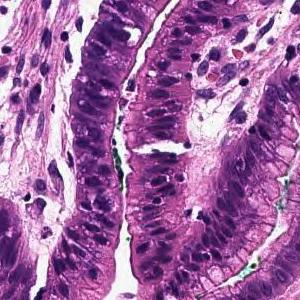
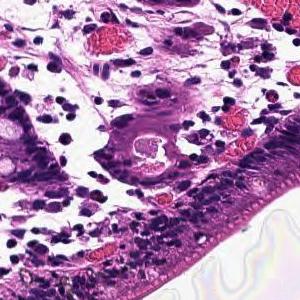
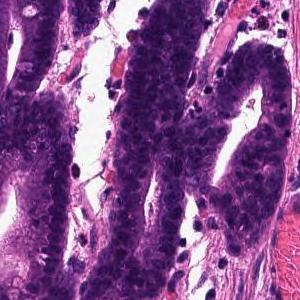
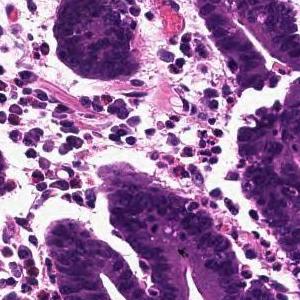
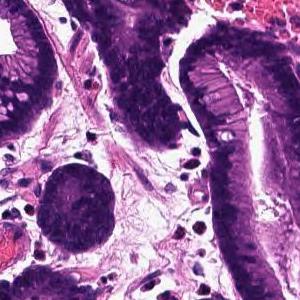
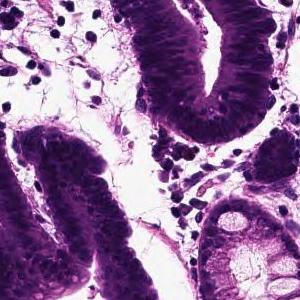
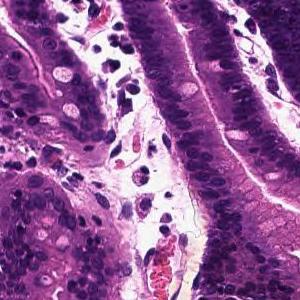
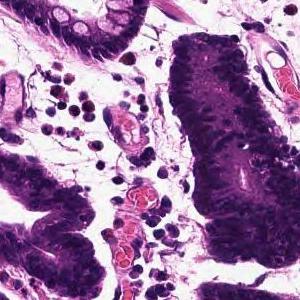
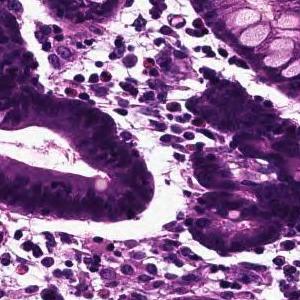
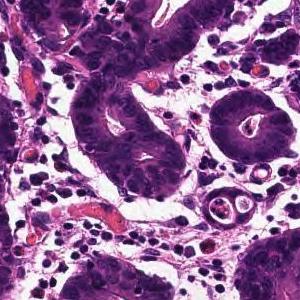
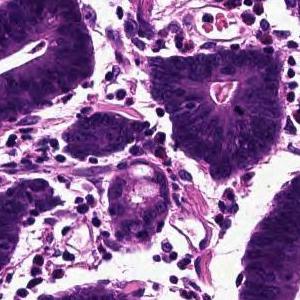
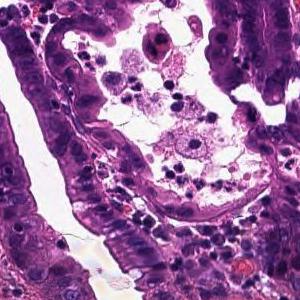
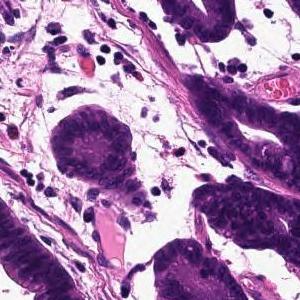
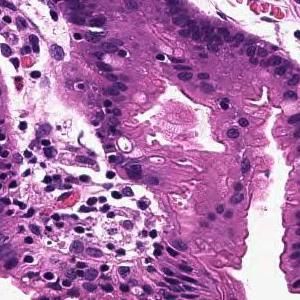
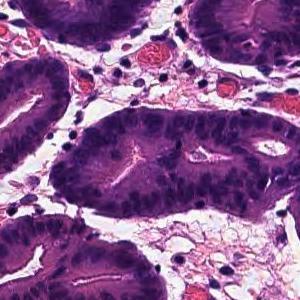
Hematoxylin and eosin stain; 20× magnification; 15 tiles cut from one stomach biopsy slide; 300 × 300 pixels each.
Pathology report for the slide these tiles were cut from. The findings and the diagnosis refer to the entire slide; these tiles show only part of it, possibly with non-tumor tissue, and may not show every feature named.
Tumor tissue that infiltrates by forming large papillary or large irregular glandular ducts is observed confined to the mucosa. Papillary adenocarcinoma
